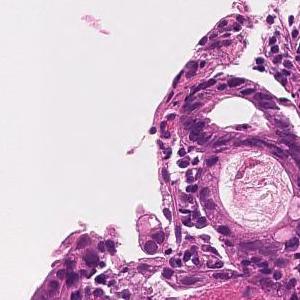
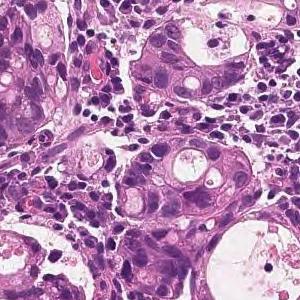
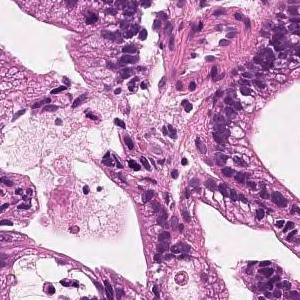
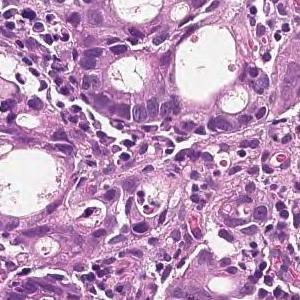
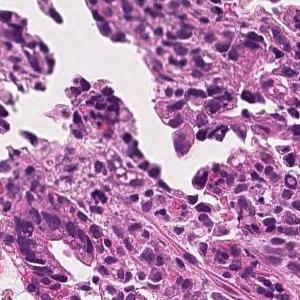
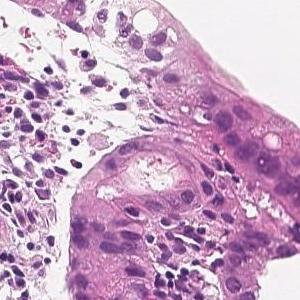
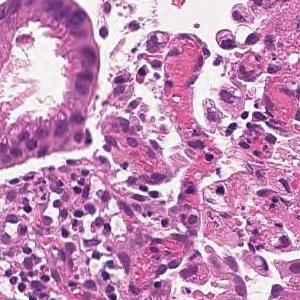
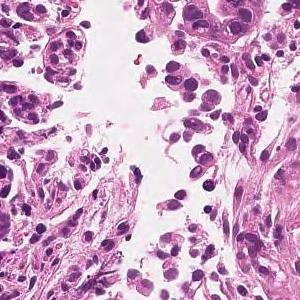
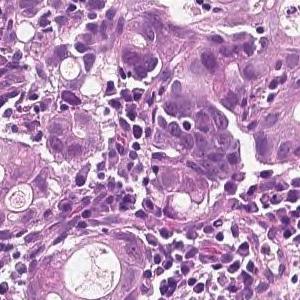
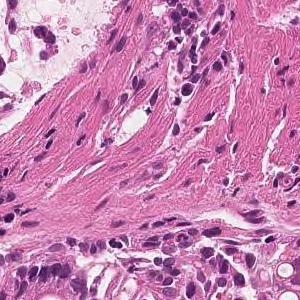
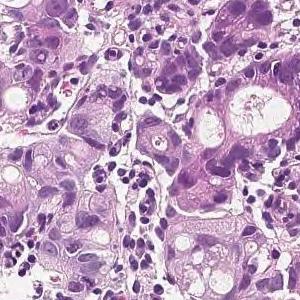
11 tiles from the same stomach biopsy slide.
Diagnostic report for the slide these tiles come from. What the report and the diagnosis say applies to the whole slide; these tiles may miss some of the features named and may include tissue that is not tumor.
On the superficial epithelium, tumor tissue is found in which medium-sized irregular gland ducts fuse with each other and infiltrate. moderately differentiated tubular adenocarcinoma
